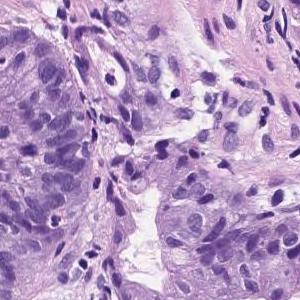
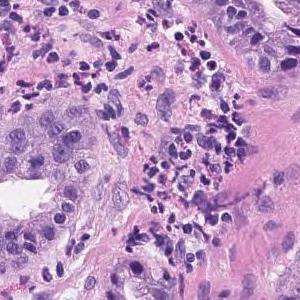
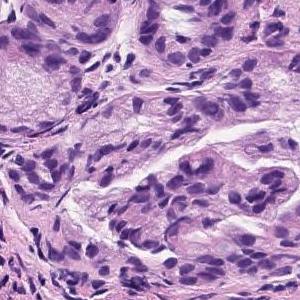
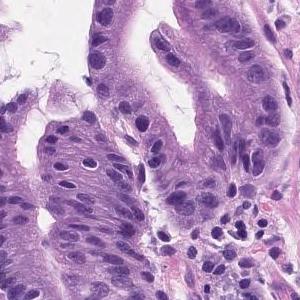
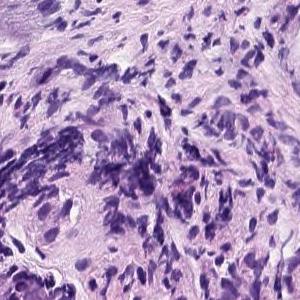
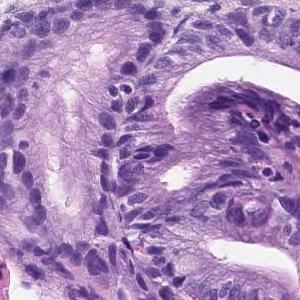
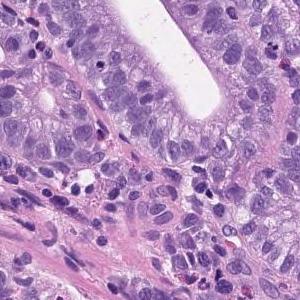
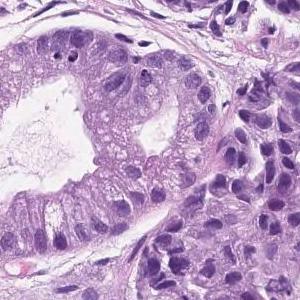
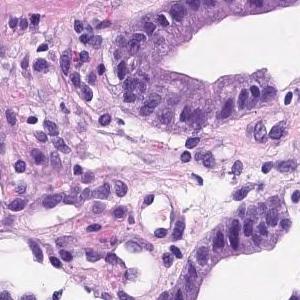
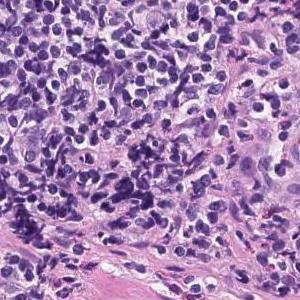
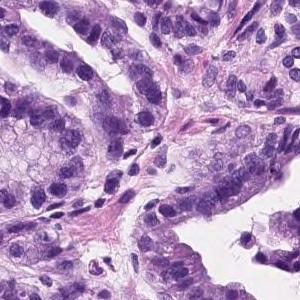
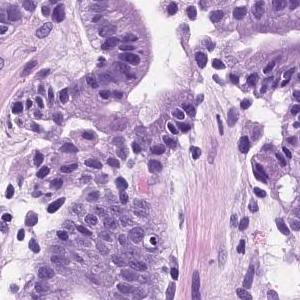
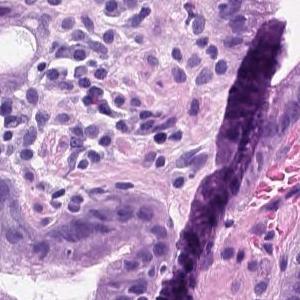
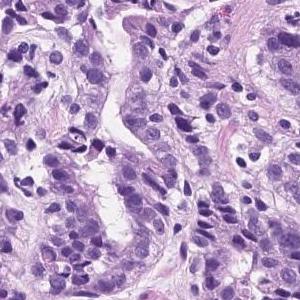
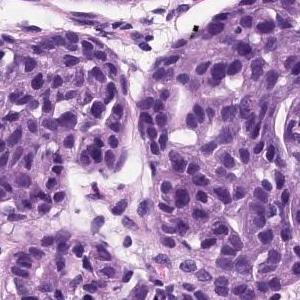
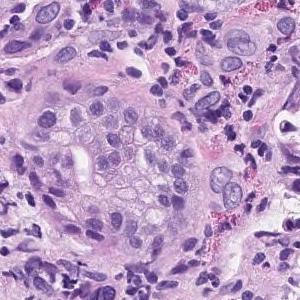
16 tiles from the same stomach biopsy slide; H&E; ×20.
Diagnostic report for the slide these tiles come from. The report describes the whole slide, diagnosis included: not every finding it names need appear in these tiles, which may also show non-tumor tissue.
Tumor tissue consisting of medium-sized and irregular ducts is observed infiltrating in the superficial epithelium. Tumor cells are highly columnar, with nuclei aligned basolaterally and polarized. Well differentiated tubular adenocarcinoma.
